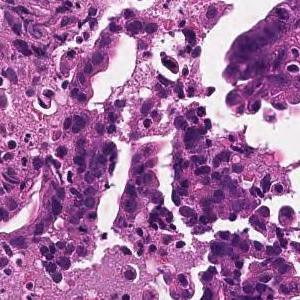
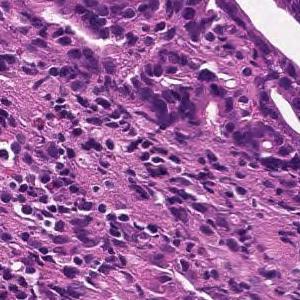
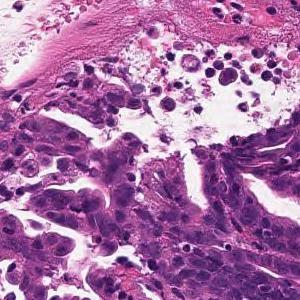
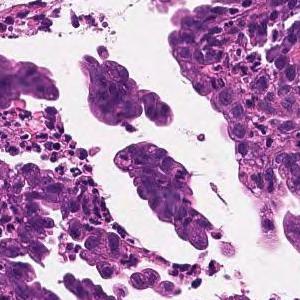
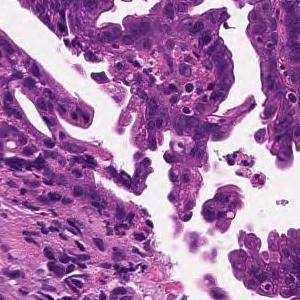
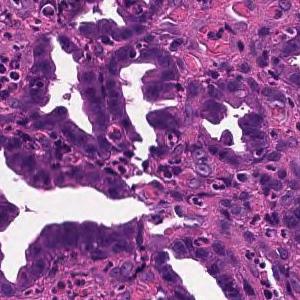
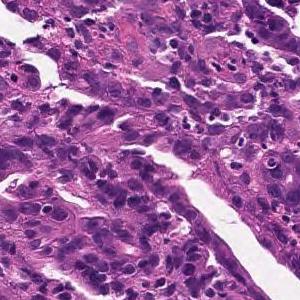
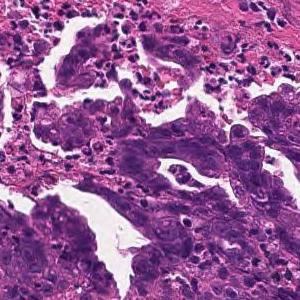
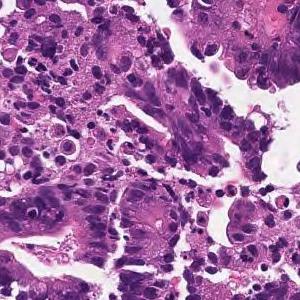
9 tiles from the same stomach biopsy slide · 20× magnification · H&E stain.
Pathology report for the biopsy slide these tiles were cut from. The report describes the whole slide, diagnosis included: not every finding it names need appear in these tiles, which may also show non-tumor tissue.
From the superficial epithelium to the muscularis mucosae, tumor tissue consisting of medium-sized and irregular glandular ducts infiltrating is observed. Well differentiated tubular adenocarcinoma
